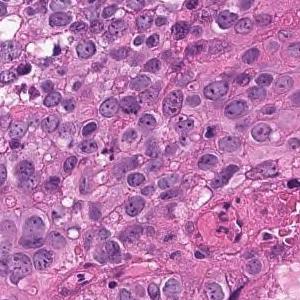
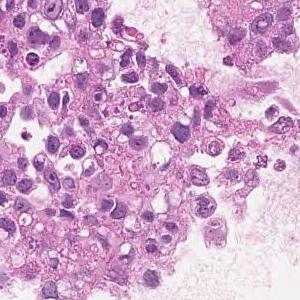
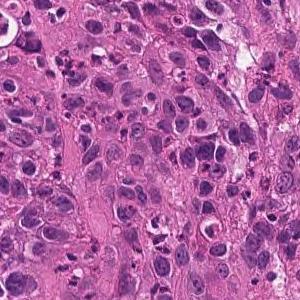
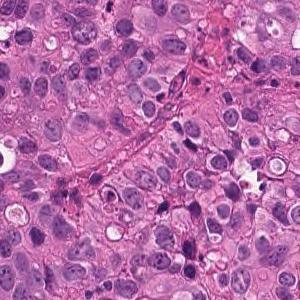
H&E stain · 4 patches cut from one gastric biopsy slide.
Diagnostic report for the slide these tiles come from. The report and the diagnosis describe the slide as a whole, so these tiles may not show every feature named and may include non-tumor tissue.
The superficial epithelium shows a large sheet-like shape, and some tumor tissue infiltrates with small irregular ducts. Poorly differentiated adenocarcinoma, solid-type
Histological subtype: Poorly differentiated adenocarcinoma, solid type. This name comes from the Japanese Classification of Gastric Carcinoma; the WHO 2019 classification calls it tubular adenocarcinoma, poorly differentiated.
